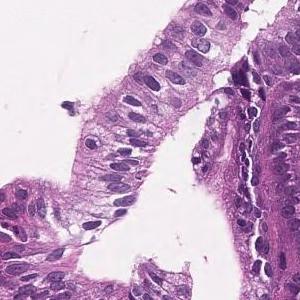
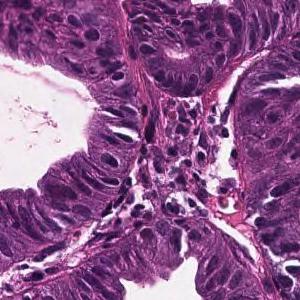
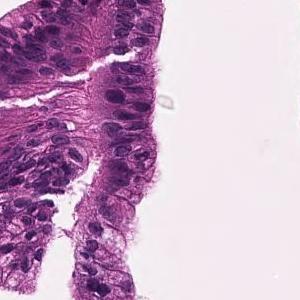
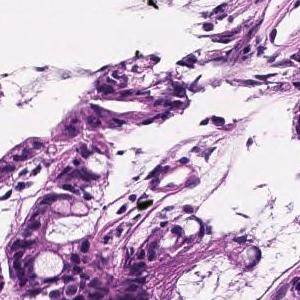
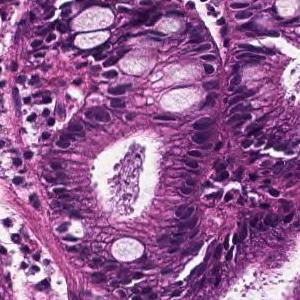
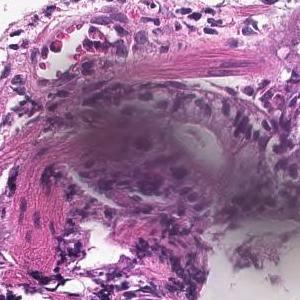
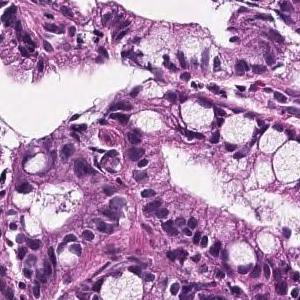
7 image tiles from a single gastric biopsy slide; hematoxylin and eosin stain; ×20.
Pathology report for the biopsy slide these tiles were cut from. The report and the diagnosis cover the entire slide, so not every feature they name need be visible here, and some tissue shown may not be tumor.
In the superficial epithelium, tumor tissue that invades by forming medium-sized to small, irregular ducts is observed. Well differentiated tubular adenocarcinoma.
